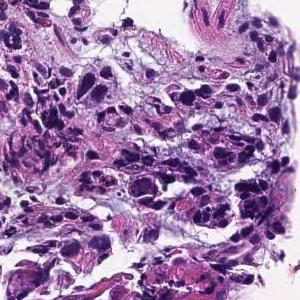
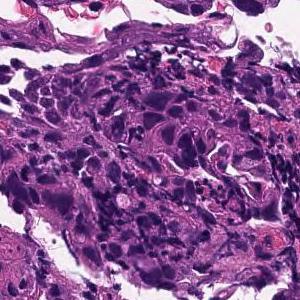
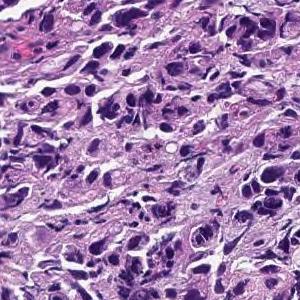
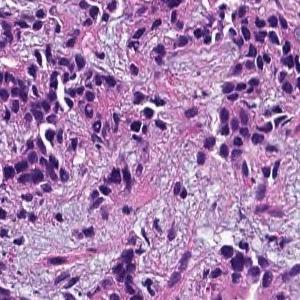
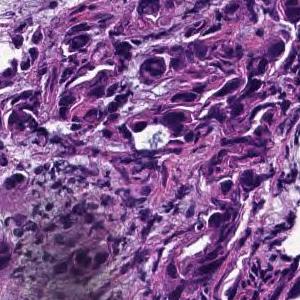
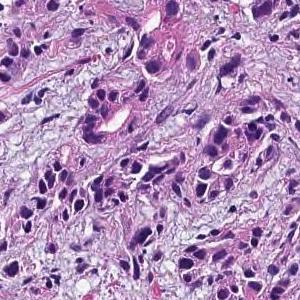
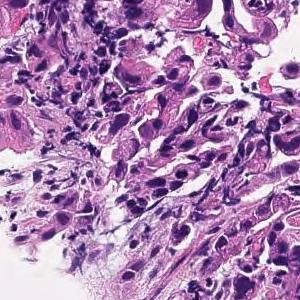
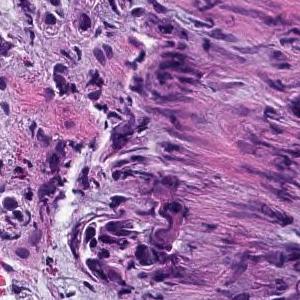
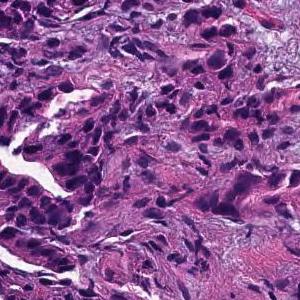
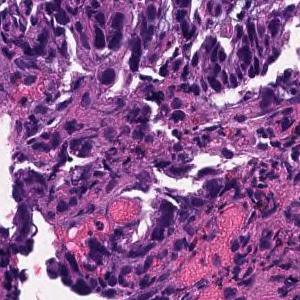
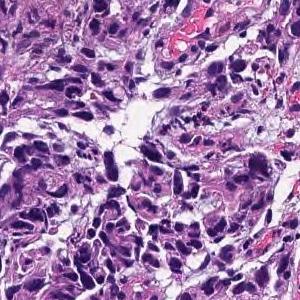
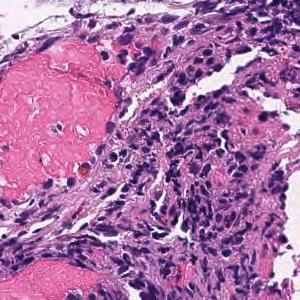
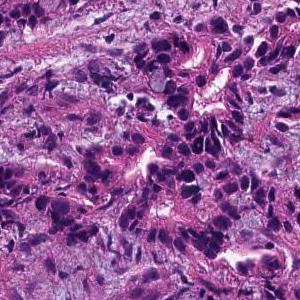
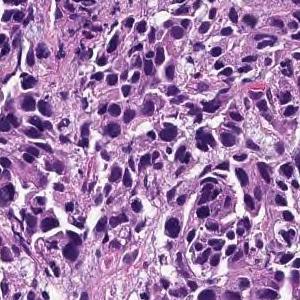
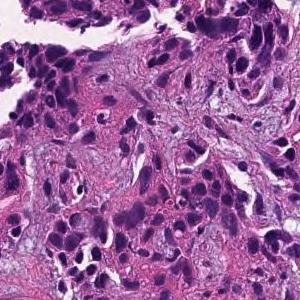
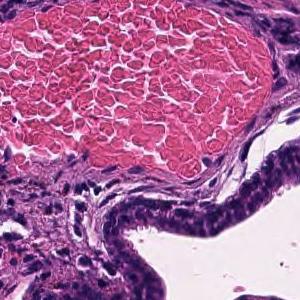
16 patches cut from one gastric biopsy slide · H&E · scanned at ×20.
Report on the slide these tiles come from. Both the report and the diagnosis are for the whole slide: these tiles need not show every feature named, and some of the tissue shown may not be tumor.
Tumor tissue consisting of cord-like or small, irregular glandular ducts fused and infiltrated is observed in the superficial epithelium. Poorly differentiated adenocarcinoma, non-solid type
The term "non-solid type" comes from the Japanese Classification of Gastric Carcinoma.
